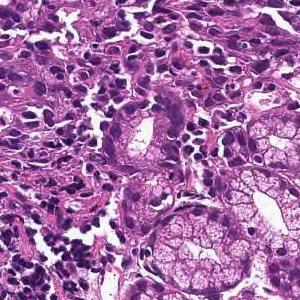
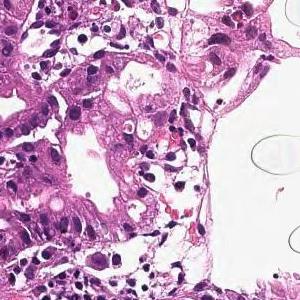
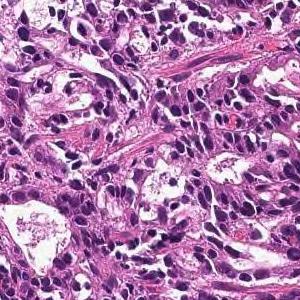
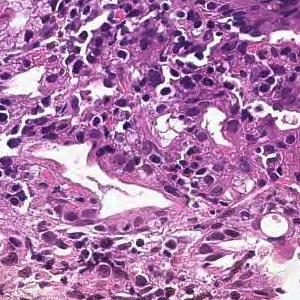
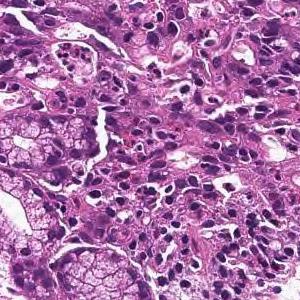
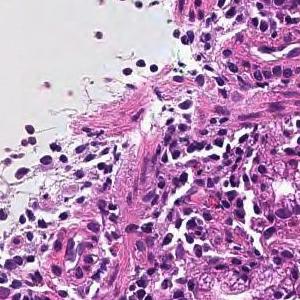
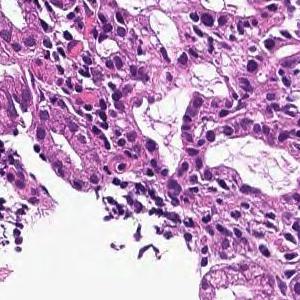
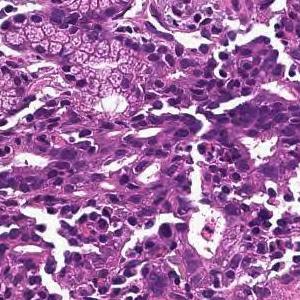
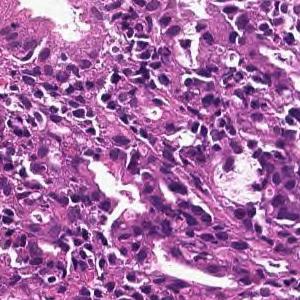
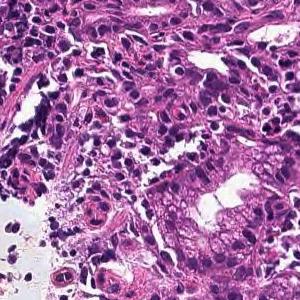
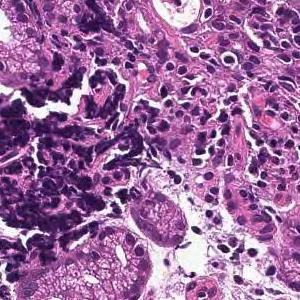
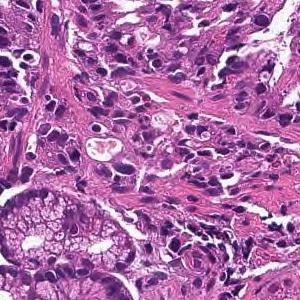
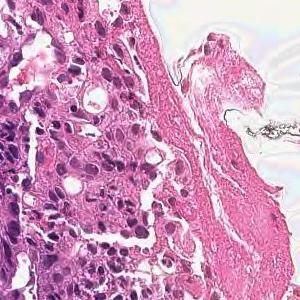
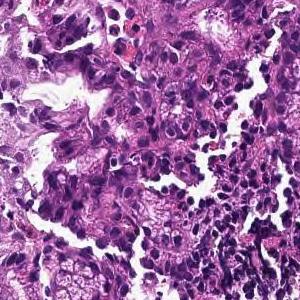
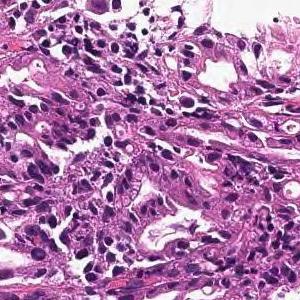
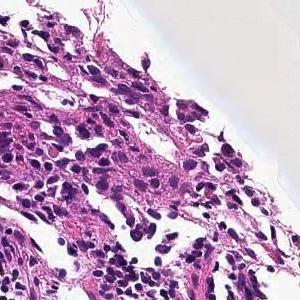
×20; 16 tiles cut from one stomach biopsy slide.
Pathology report for the biopsy slide these tiles were cut from. The report and the diagnosis describe the slide as a whole, so these tiles may not show every feature named and may include non-tumor tissue.
In the superficial epithelium, tumor tissue that invades by forming medium-sized to small, irregular ducts is observed. moderately differentiated tubular adenocarcinoma.
